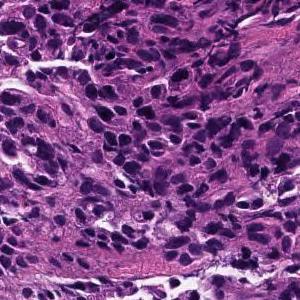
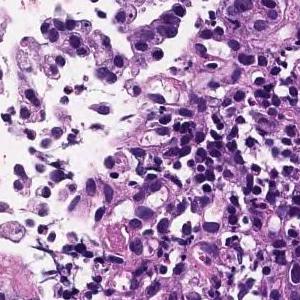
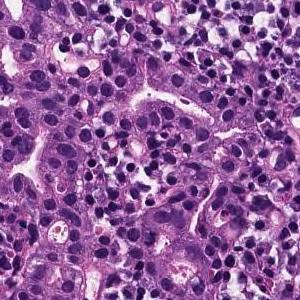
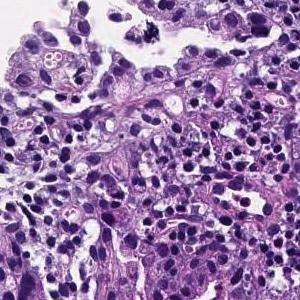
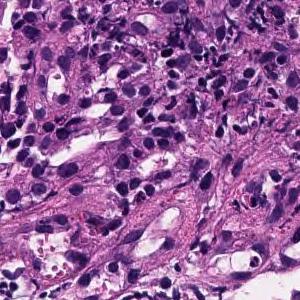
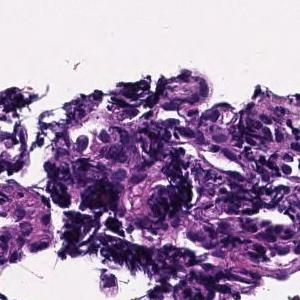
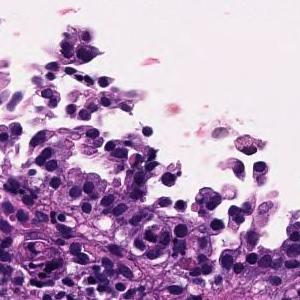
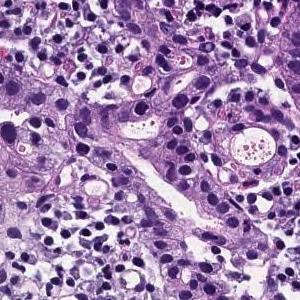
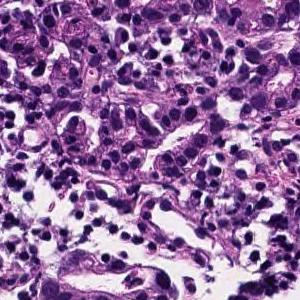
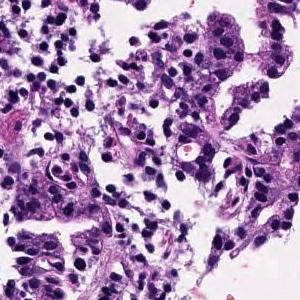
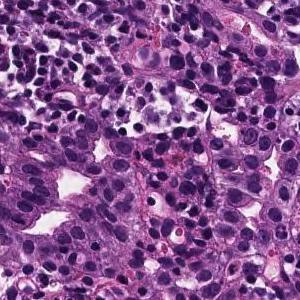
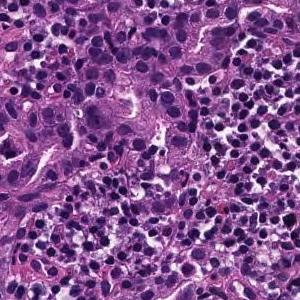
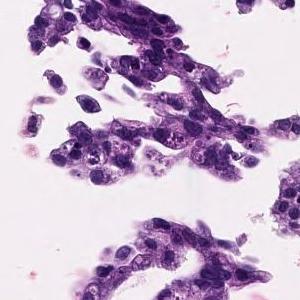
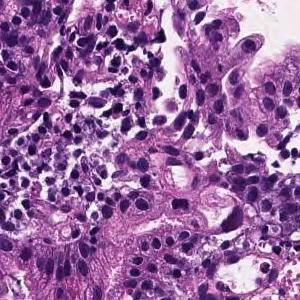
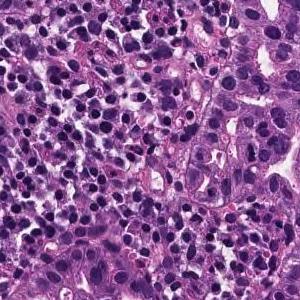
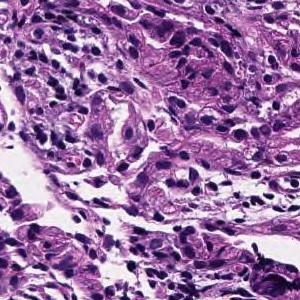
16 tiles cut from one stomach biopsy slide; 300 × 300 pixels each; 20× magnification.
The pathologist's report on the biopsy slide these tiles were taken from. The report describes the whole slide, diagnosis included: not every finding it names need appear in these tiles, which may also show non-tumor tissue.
Medium to small, irregular glandular ducts are formed in the superficial epithelium, and in some cases, the glandular ducts are fused to show solid alveolar lesions and infiltrating tumor tissue is observed. Moderately to poorly differentiated adenocarcinoma.
